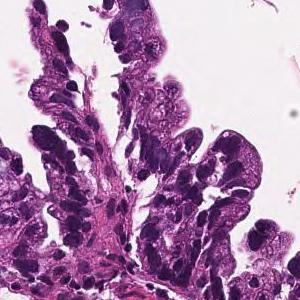
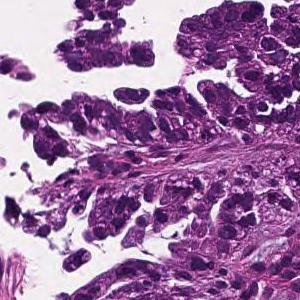
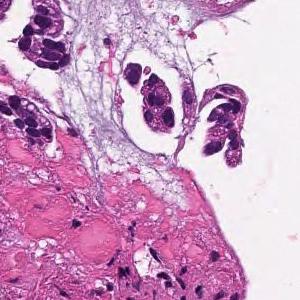
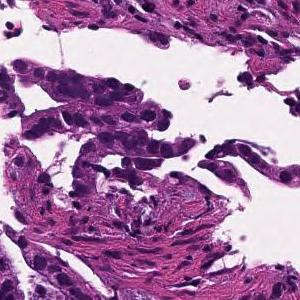
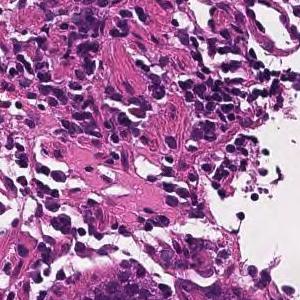
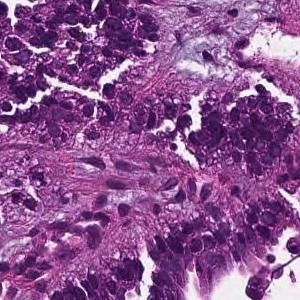
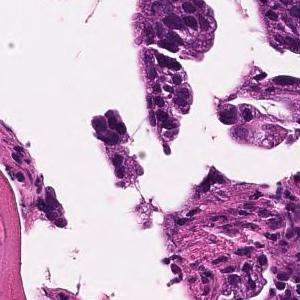
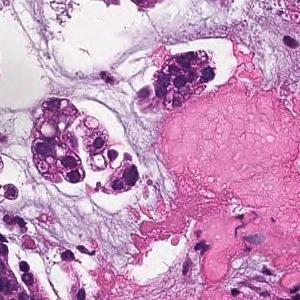
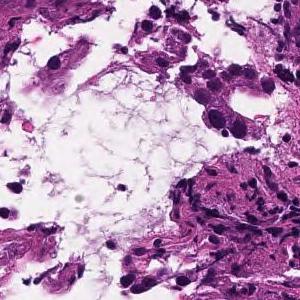
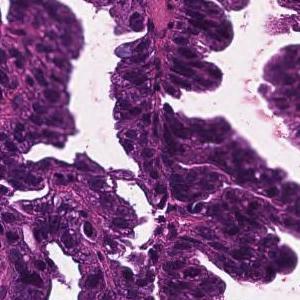
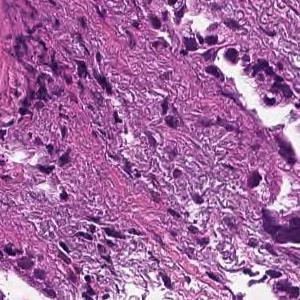
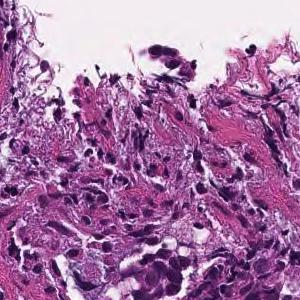
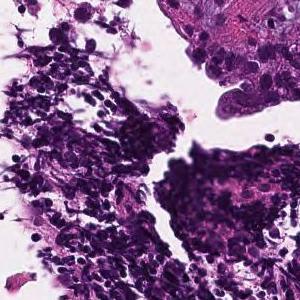
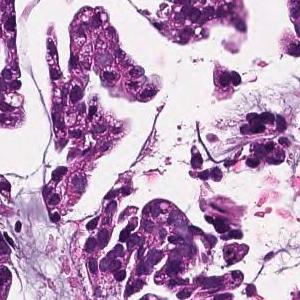
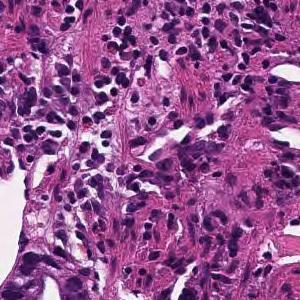
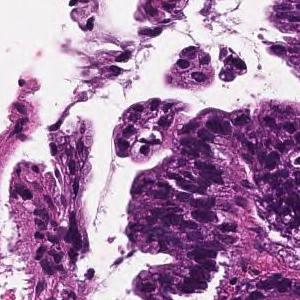
H&E; 16 image tiles from a single gastric biopsy slide; each 300 × 300 pixels.
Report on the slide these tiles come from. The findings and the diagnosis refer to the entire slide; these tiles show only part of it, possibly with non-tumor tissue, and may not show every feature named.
Tumor cells are large, highly columnar, large club-shaped nuclei, and are associated with chromatin aggregation. Papillary adenocarcinoma.
